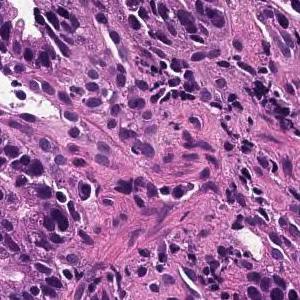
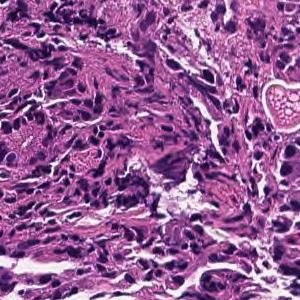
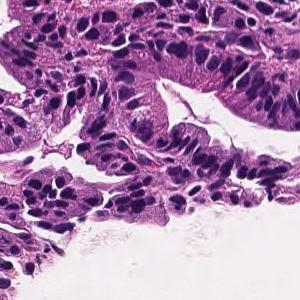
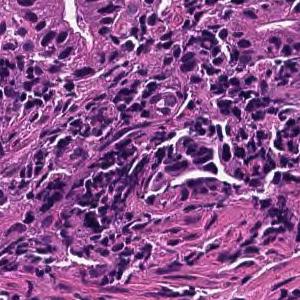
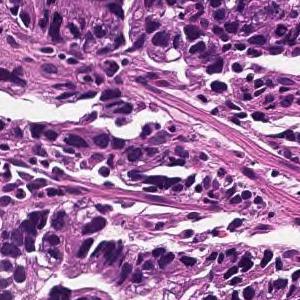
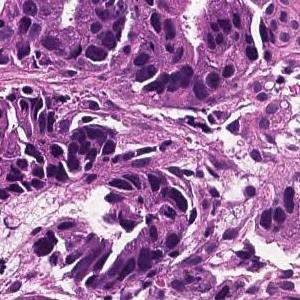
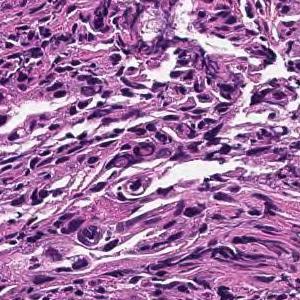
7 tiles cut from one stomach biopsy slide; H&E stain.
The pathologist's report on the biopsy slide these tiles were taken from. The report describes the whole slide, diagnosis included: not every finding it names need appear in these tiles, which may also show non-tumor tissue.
On the superficial epithelium, tumor tissue is found in which medium-sized irregular gland ducts fuse with each other and infiltrate. moderately differentiated tubular adenocarcinoma or Poorly differentiated adenocarcinoma, non-solid type
Tumor subtype: moderately to poorly differentiated adenocarcinoma.
"Non-solid type" is a category of the Japanese Classification of Gastric Carcinoma.
